20× magnification; 9 tiles cut from one stomach biopsy slide.
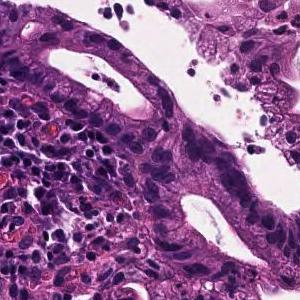
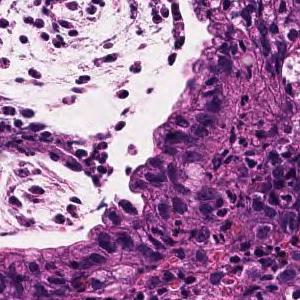
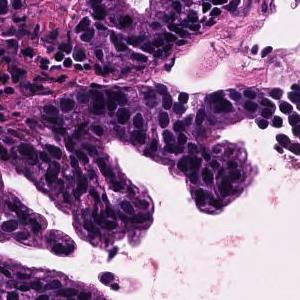
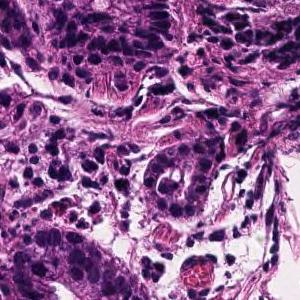
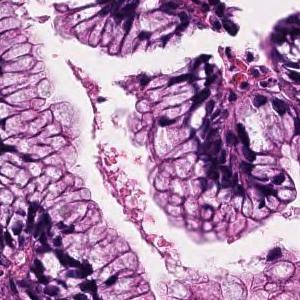
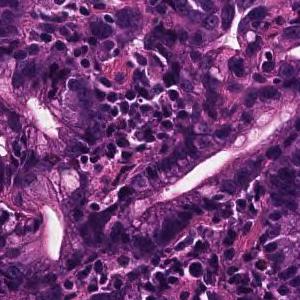
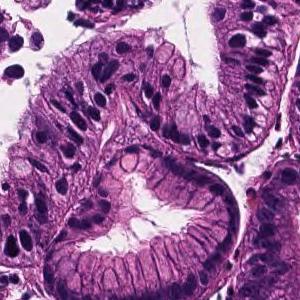
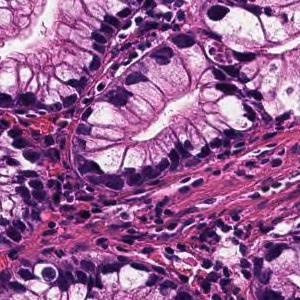
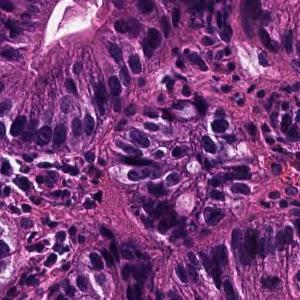
Diagnostic report for the slide these tiles come from. The report and the diagnosis describe the slide as a whole, so these tiles may not show every feature named and may include non-tumor tissue.
Tumor cells are large, highly columnar, large club-shaped nuclei, and are associated with chromatin aggregation. Papillary adenocarcinoma.
